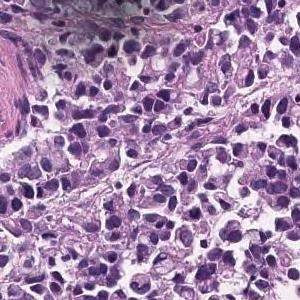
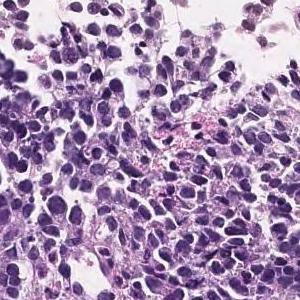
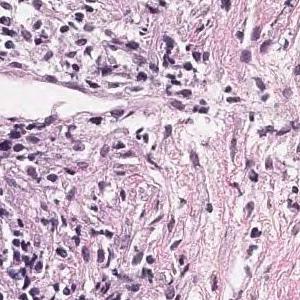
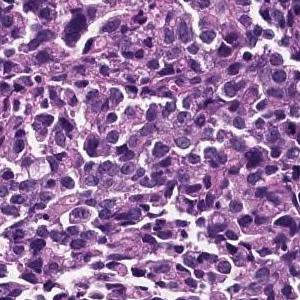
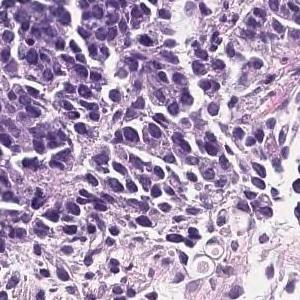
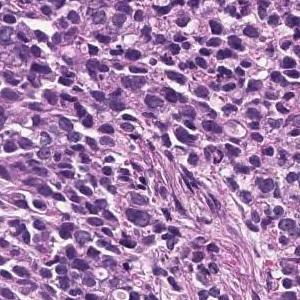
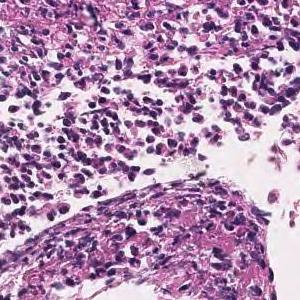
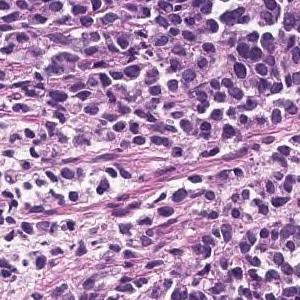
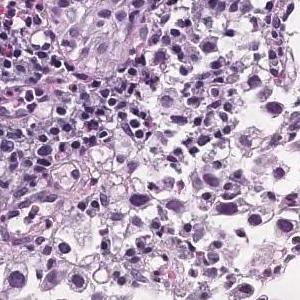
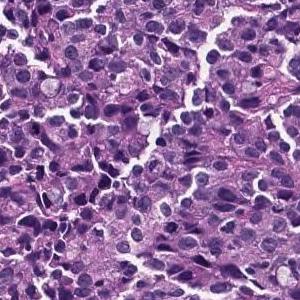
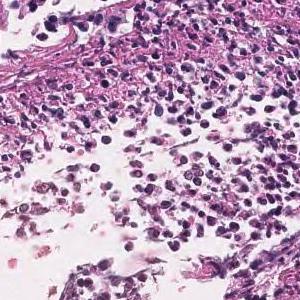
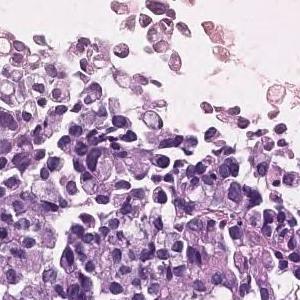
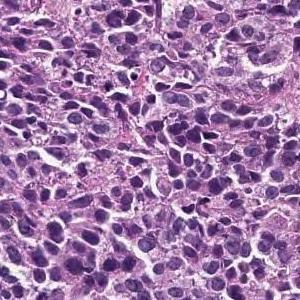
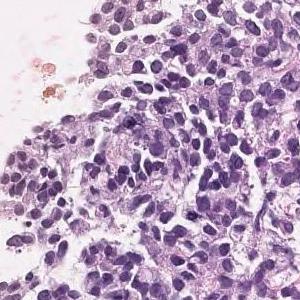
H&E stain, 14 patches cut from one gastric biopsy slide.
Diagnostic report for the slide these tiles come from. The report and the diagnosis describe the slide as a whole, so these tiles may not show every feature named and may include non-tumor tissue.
The superficial epithelium shows a large sheet-like shape, and some tumor tissue infiltrates with small irregular ducts. Poorly differentiated adenocarcinoma, solid-type
Histologic type: Poorly differentiated adenocarcinoma, solid type. This name comes from the Japanese Classification of Gastric Carcinoma; the WHO 2019 classification calls it tubular adenocarcinoma, poorly differentiated.
